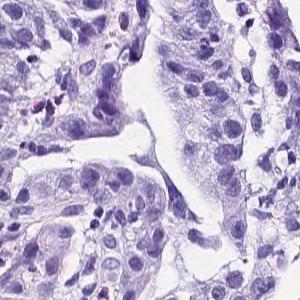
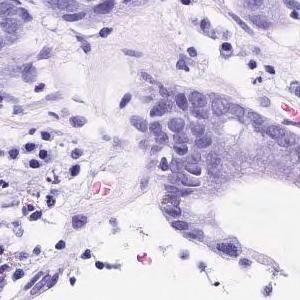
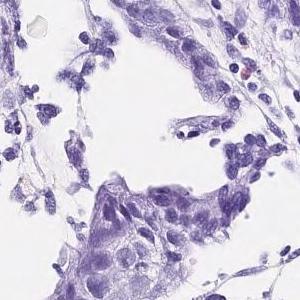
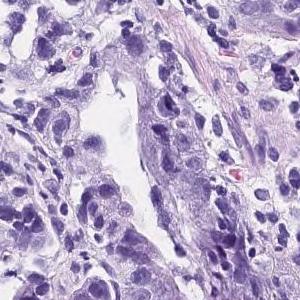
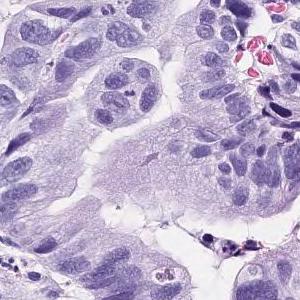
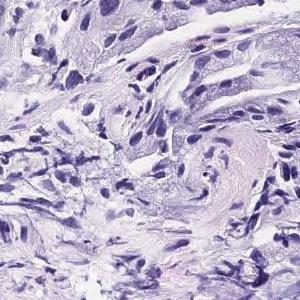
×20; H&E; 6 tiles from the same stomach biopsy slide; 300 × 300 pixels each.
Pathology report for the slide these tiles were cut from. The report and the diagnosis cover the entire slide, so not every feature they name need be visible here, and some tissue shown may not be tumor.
Tumor tissue consisting of medium-sized and irregular ducts is observed infiltrating in the superficial epithelium. Tumor cells are highly columnar, with nuclei aligned basolaterally and polarized. Well differentiated tubular adenocarcinoma.
